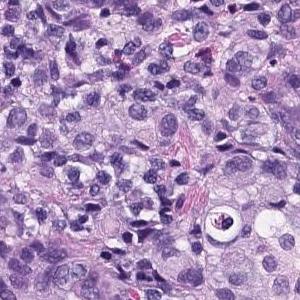
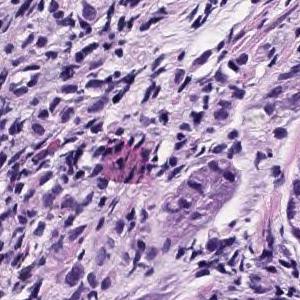
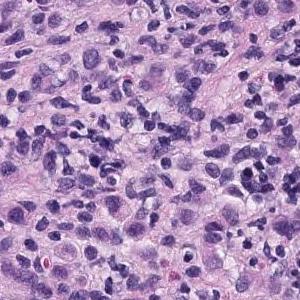
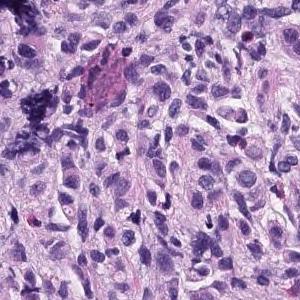
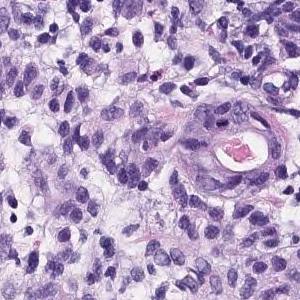
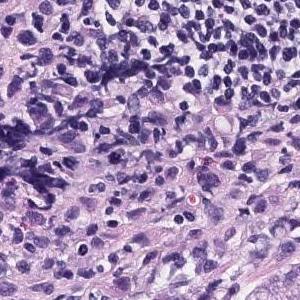
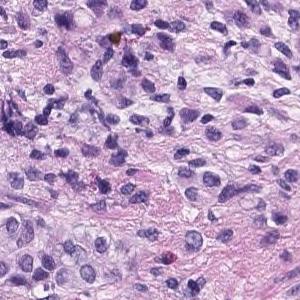
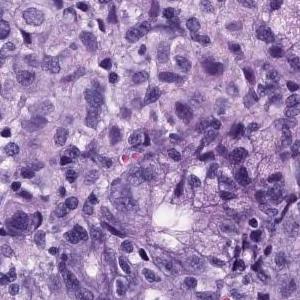
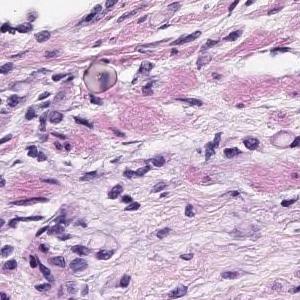
9 tiles from the same stomach biopsy slide, 300×300 px each, H&E, ×20.
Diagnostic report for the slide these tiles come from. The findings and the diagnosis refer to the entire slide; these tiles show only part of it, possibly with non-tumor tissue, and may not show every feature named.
There are medium-sized atypical cells with marked nuclear swelling and increased N/C ratio, which grow into solid or isolated scattered cells. Poorly differentiated adenocarcinoma
Histological subtype: Poorly differentiated adenocarcinoma, solid type. This name comes from the Japanese Classification of Gastric Carcinoma; the WHO 2019 classification calls it tubular adenocarcinoma, poorly differentiated.
